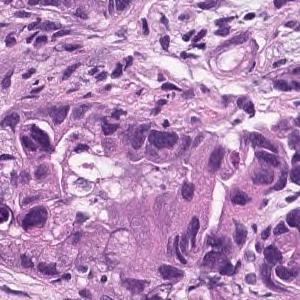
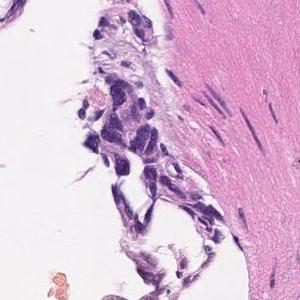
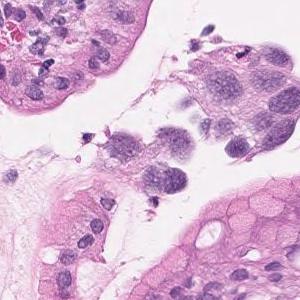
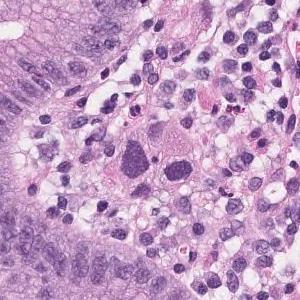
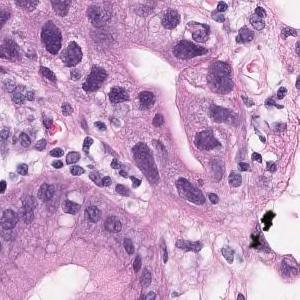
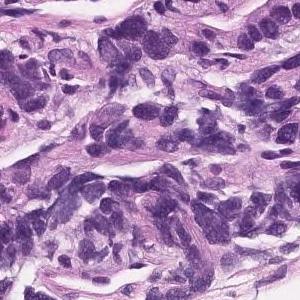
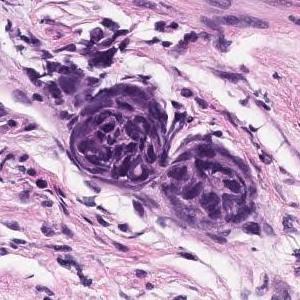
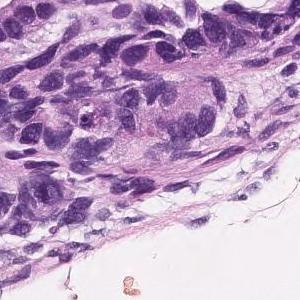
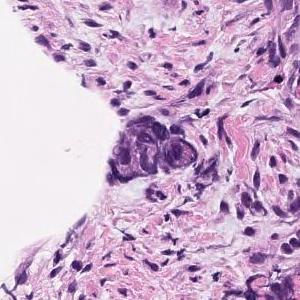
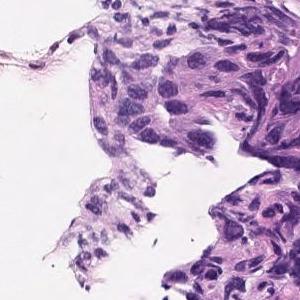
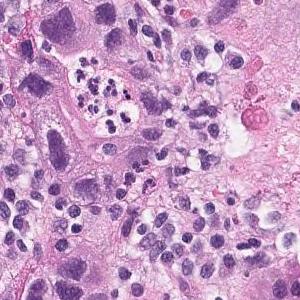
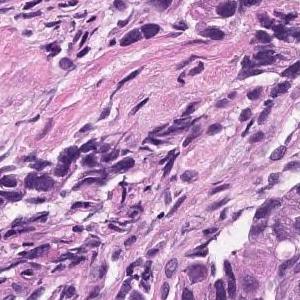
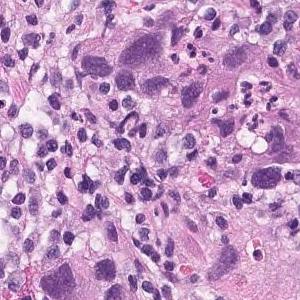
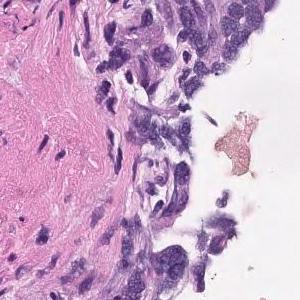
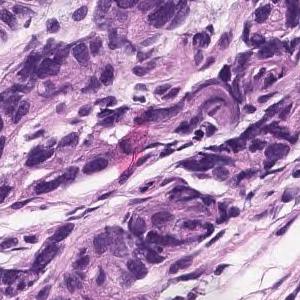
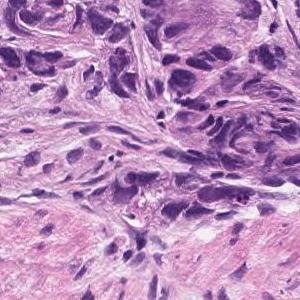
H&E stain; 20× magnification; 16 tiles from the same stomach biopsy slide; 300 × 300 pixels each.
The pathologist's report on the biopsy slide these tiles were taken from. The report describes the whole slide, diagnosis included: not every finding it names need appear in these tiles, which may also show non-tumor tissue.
Atypical l cells with atypical nuclei under the mucosa growing in isolation and scattered. Moderately to poorly differentiated adenocarcinoma (moderately differentiated tubular adenocarcinoma poorly differentiated adenocarcinoma, solid type)
Subtype: Moderately to poorly differentiated adenocarcinoma.
"Solid type" is a category of the Japanese Classification of Gastric Carcinoma; in the WHO 2019 classification it is tubular adenocarcinoma, poorly differentiated.
